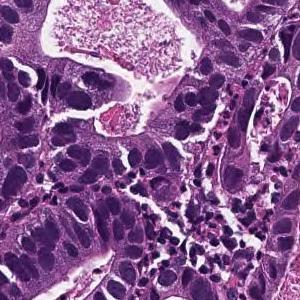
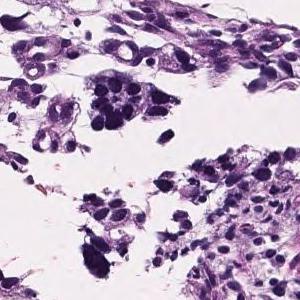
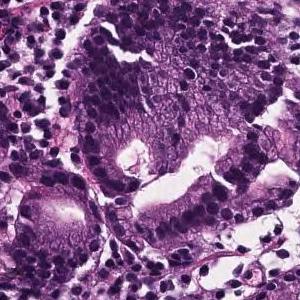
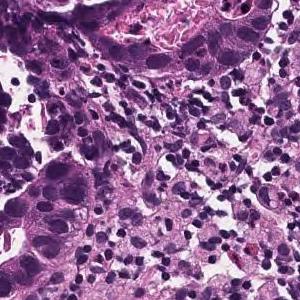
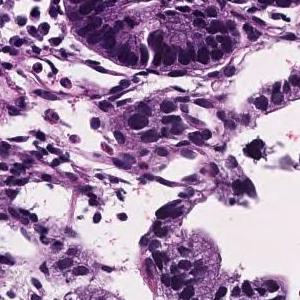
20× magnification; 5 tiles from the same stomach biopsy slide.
Pathology report for the biopsy slide these tiles were cut from. The report and the diagnosis cover the entire slide, so not every feature they name need be visible here, and some tissue shown may not be tumor.
In the superficial epithelium, tumor tissue that invades by forming medium-sized to small, irregular ducts is observed. Well differentiated tubular adenocarcinoma.
